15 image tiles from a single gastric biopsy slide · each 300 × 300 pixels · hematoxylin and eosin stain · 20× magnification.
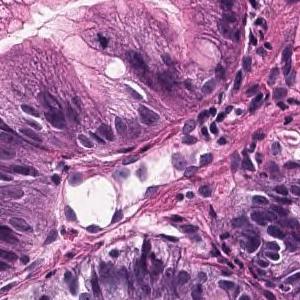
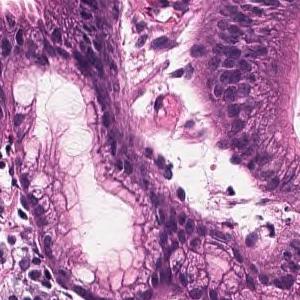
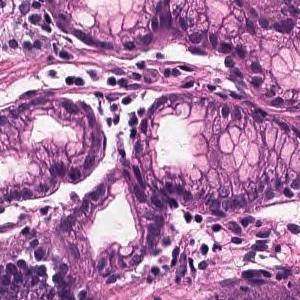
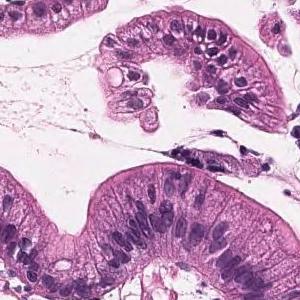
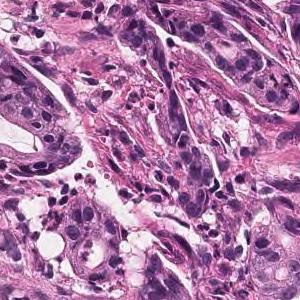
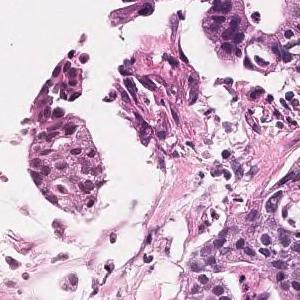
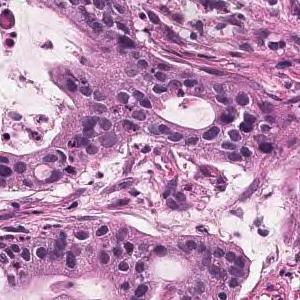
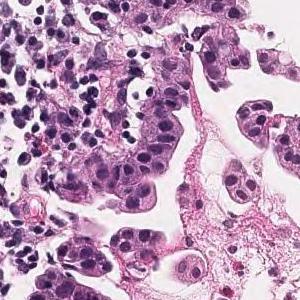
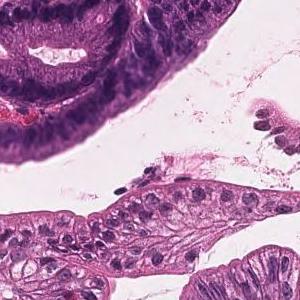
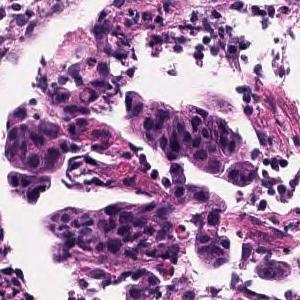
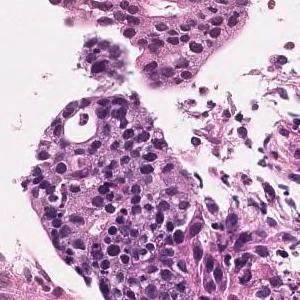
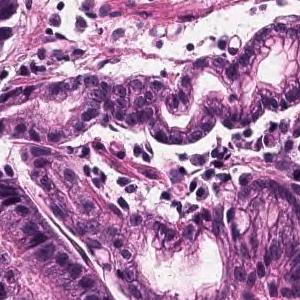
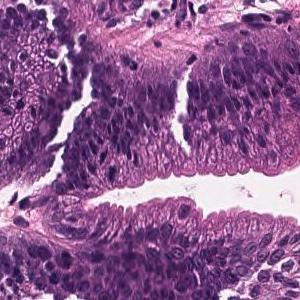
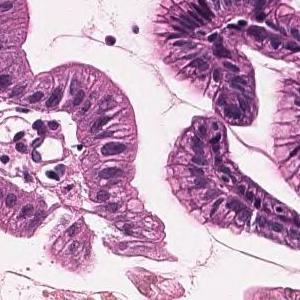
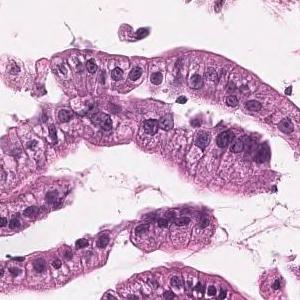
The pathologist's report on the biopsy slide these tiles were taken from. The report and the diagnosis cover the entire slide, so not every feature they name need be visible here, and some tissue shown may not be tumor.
Tumor tissue that grows invasively while the short atypical epithelium forms small ducts is observed. moderately differentiated tubular adenocarcinoma
